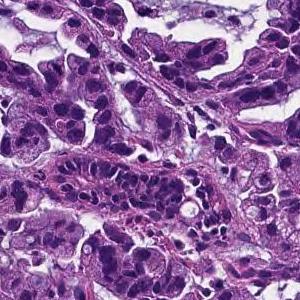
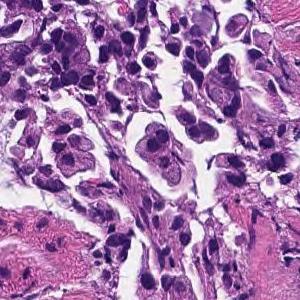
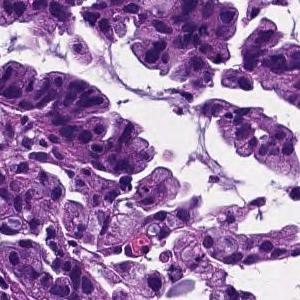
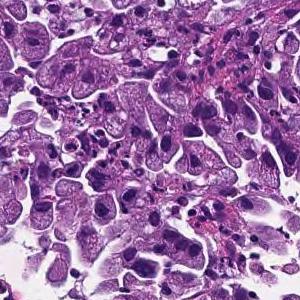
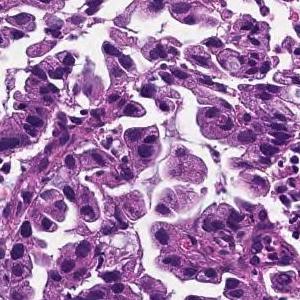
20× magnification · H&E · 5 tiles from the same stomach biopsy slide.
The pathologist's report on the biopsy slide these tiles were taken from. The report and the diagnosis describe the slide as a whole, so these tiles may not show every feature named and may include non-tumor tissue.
Tumor tissue consisting of medium-sized, cord-like or irregular glandular infiltration is observed in the superficial epithelium. Poorly differentiated adenocarcinoma, non-solid type or moderately differentiated tubular adenocarcinoma
Classified as moderately to poorly differentiated adenocarcinoma.
The term "non-solid type" comes from the Japanese Classification of Gastric Carcinoma.
